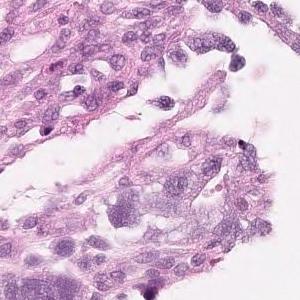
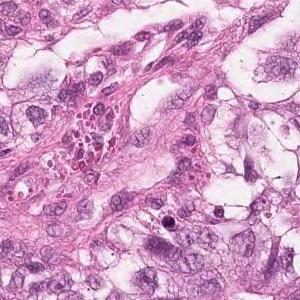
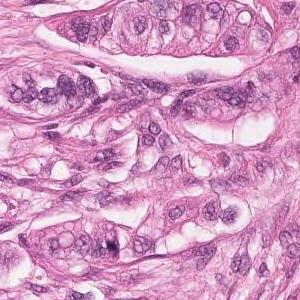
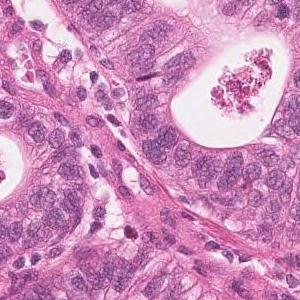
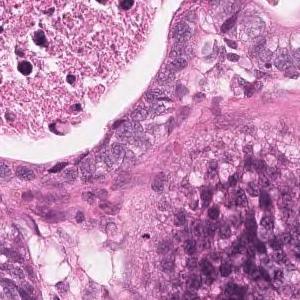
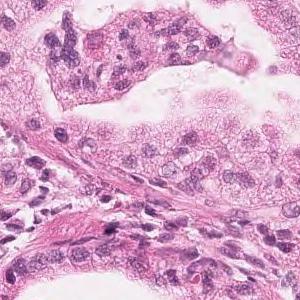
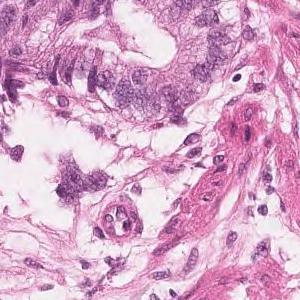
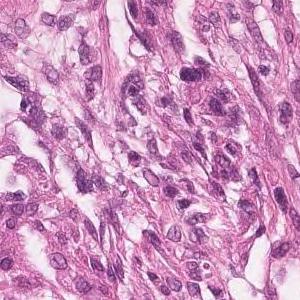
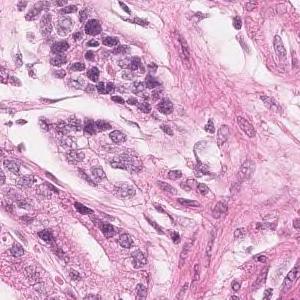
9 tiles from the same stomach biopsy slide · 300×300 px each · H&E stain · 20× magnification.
The pathologist's report on the biopsy slide these tiles were taken from. The report and the diagnosis describe the slide as a whole, so these tiles may not show every feature named and may include non-tumor tissue.
Highly columnar epithelium with disordered nuclear localization proliferates showing fusion ductal construction. moderately differentiated tubular adenocarcinoma
